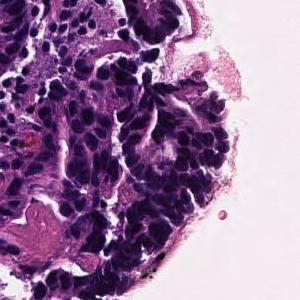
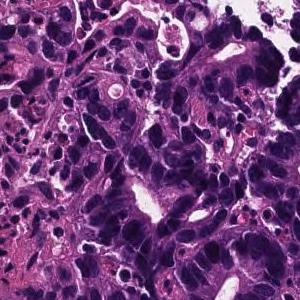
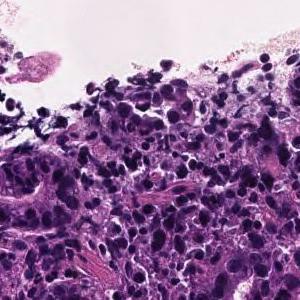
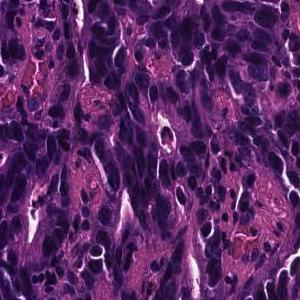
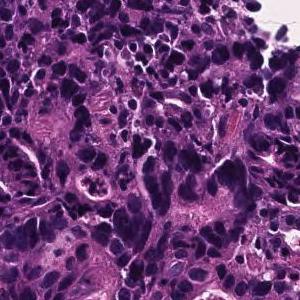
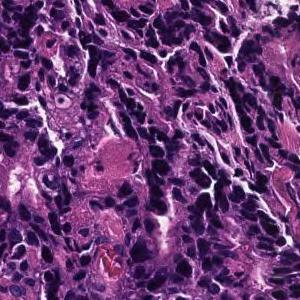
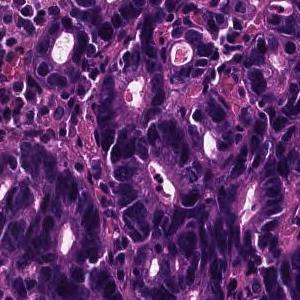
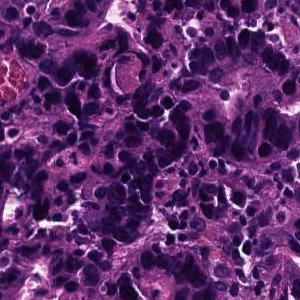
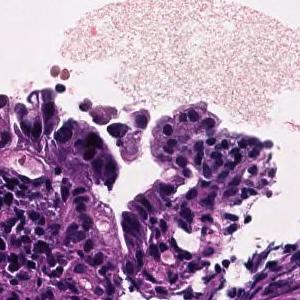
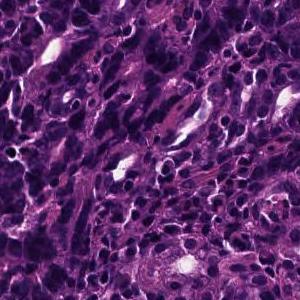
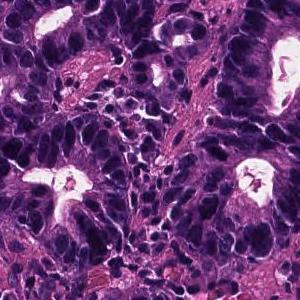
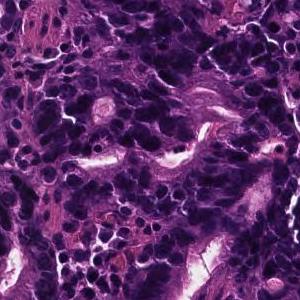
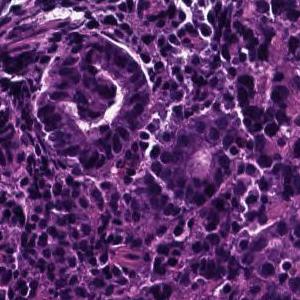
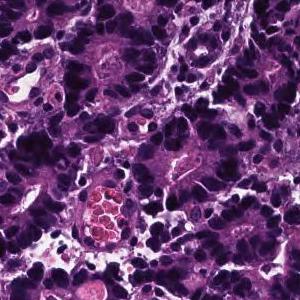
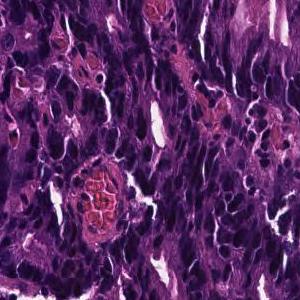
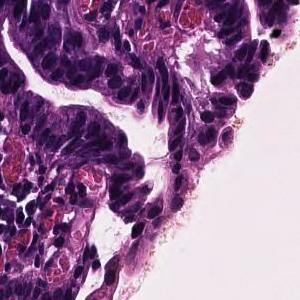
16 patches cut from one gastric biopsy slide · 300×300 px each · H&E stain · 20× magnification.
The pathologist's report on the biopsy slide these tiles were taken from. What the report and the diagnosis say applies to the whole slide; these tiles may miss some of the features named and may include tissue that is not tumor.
On the superficial epithelium, tumor tissue consisting of large, irregular glandular ducts partially fused and infiltrated is observed. Well to moderately differentiated tubular adenocarcinoma (well differentiated tubular adenocarcinoma, moderately differentiated tubular adenocarcinoma)
Histological subtype: Well to moderately differentiated tubular adenocarcinoma.
